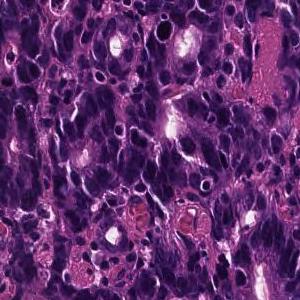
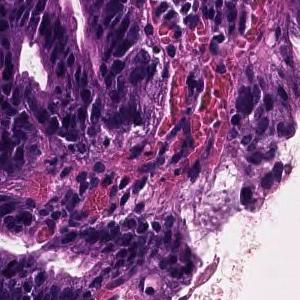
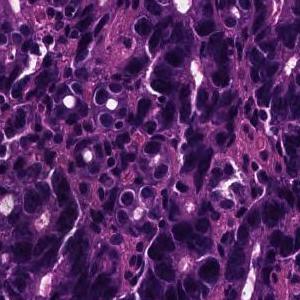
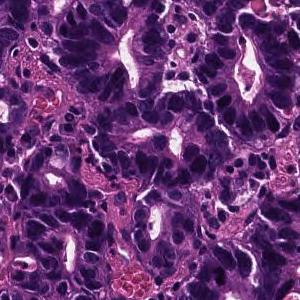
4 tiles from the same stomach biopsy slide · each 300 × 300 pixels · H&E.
Diagnostic report for the slide these tiles come from. The findings and the diagnosis refer to the entire slide; these tiles show only part of it, possibly with non-tumor tissue, and may not show every feature named.
On the superficial epithelium, tumor tissue consisting of large, irregular glandular ducts partially fused and infiltrated is observed. Well to moderately differentiated tubular adenocarcinoma (well differentiated tubular adenocarcinoma, moderately differentiated tubular adenocarcinoma)
Subtype: Well to moderately differentiated tubular adenocarcinoma.
